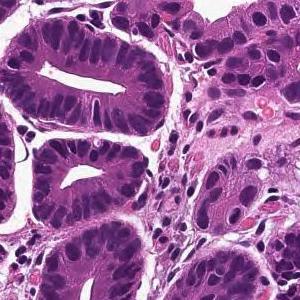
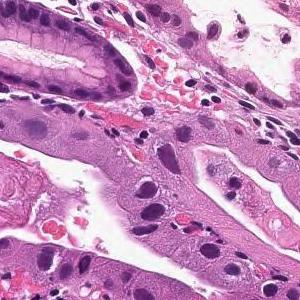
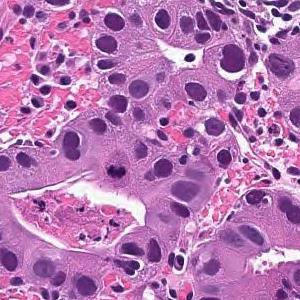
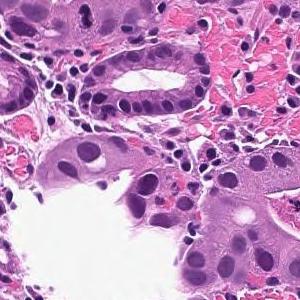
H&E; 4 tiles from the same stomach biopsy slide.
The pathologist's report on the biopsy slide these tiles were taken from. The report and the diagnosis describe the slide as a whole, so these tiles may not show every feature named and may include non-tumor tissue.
From the superficial epithelium to the muscularis mucosae, tumor tissue consisting of medium-sized and irregular glandular ducts infiltrating is observed. Well differentiated tubular adenocarcinoma
